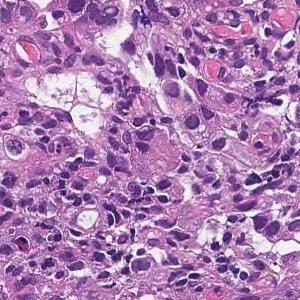
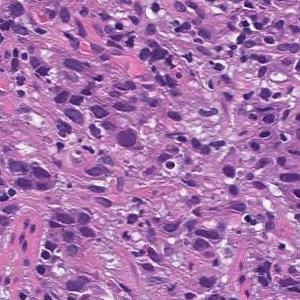
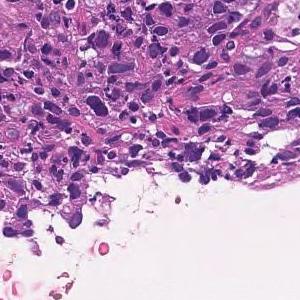
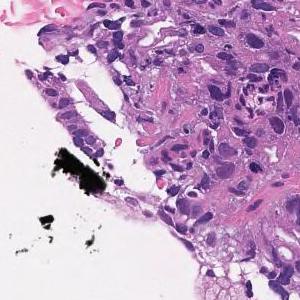
4 image tiles from a single gastric biopsy slide, 300×300 px each, ×20.
Report on the slide these tiles come from. What the report and the diagnosis say applies to the whole slide; these tiles may miss some of the features named and may include tissue that is not tumor.
In the superficial epithelium, tumor tissue that invades by forming medium-sized to small, irregular ducts is observed. moderately differentiated tubular adenocarcinoma.
